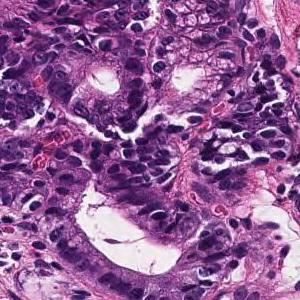
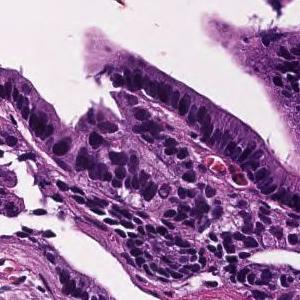
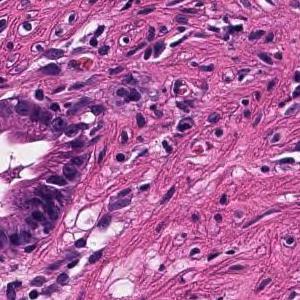
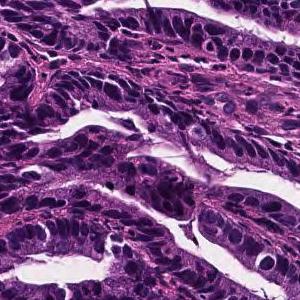
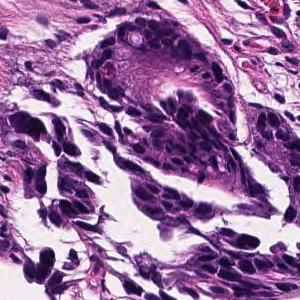
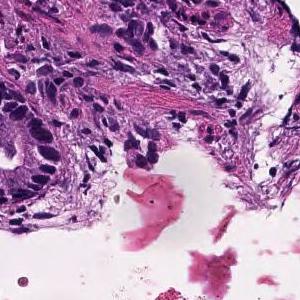
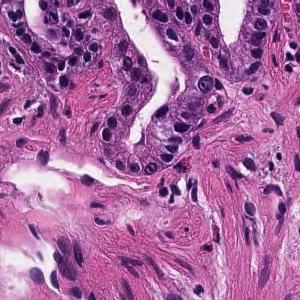
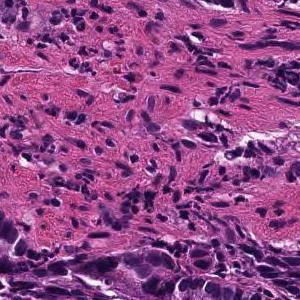
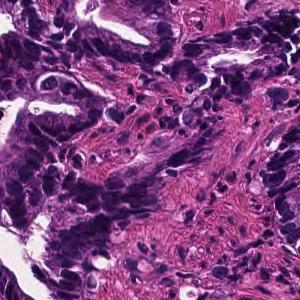
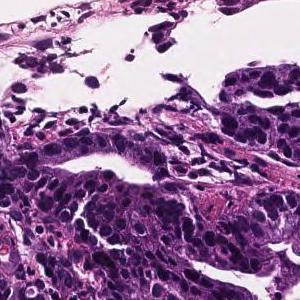
10 tiles cut from one stomach biopsy slide · 300×300 px each.
Diagnostic report for the slide these tiles come from. Both the report and the diagnosis are for the whole slide: these tiles need not show every feature named, and some of the tissue shown may not be tumor.
Tumor cells are large, highly columnar, large club-shaped nuclei, and are associated with chromatin aggregation. Papillary adenocarcinoma.
